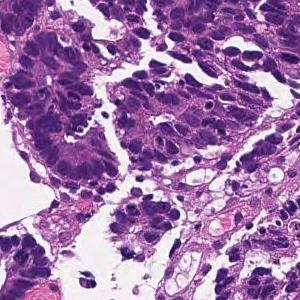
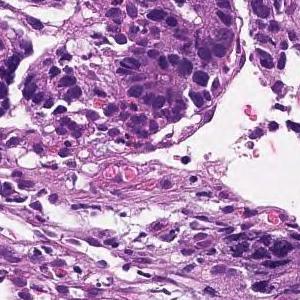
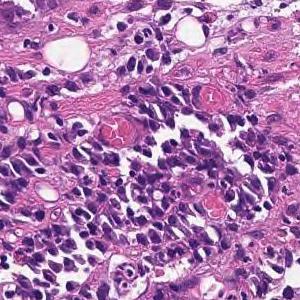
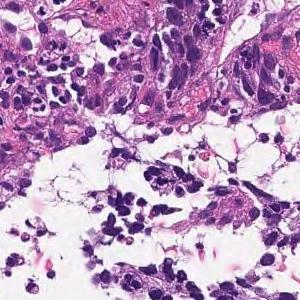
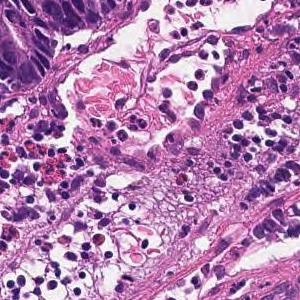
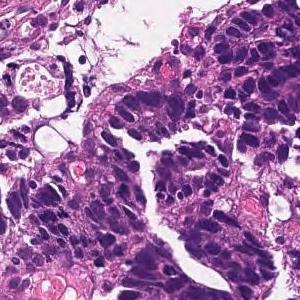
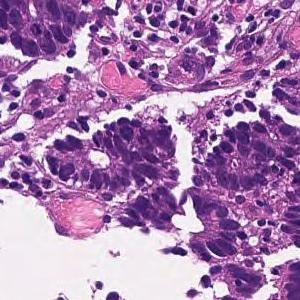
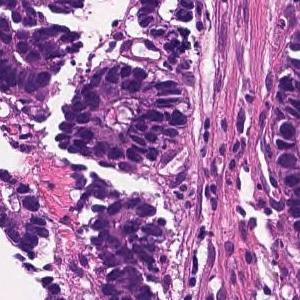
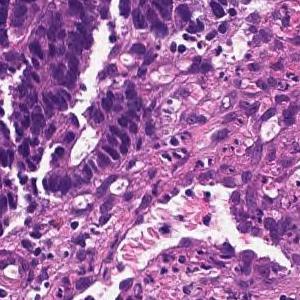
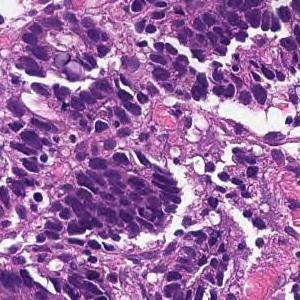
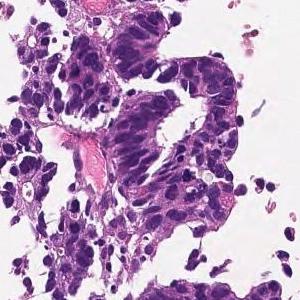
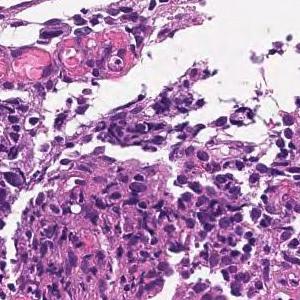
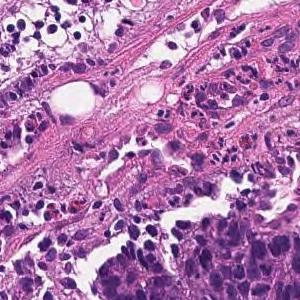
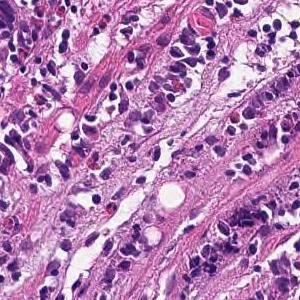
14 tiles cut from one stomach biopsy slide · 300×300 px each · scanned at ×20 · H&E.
The pathologist's report on the biopsy slide these tiles were taken from. The findings and the diagnosis refer to the entire slide; these tiles show only part of it, possibly with non-tumor tissue, and may not show every feature named.
In the superficial epithelium, tumor tissue that invades by forming medium-sized to small, irregular ducts is observed. Moderately differentiated adenocarcinoma (moderately differentiated tubular adenocarcinoma).
Classified as moderately differentiated tubular adenocarcinoma.
